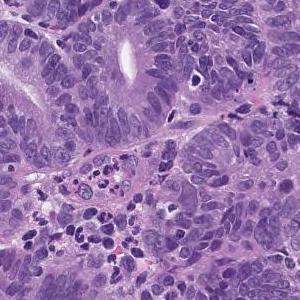
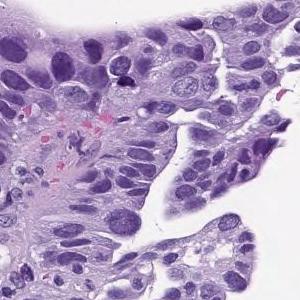
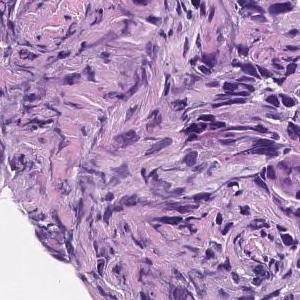
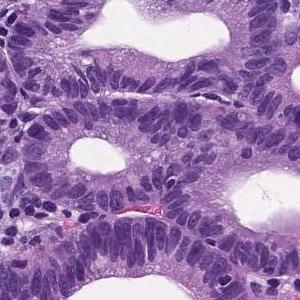
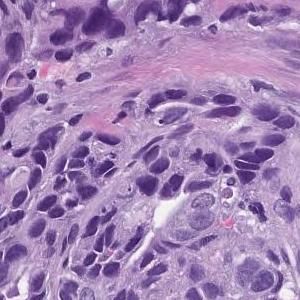
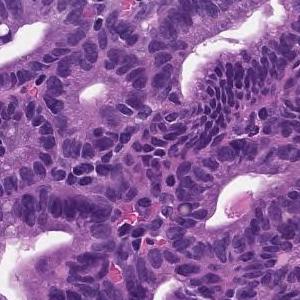
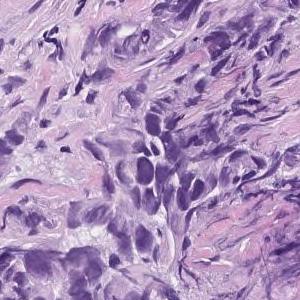
7 tiles cut from one stomach biopsy slide · each 300 × 300 pixels · H&E stain.
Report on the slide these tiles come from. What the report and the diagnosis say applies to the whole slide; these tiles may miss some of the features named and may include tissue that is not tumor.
In the superficial epithelium, tumor tissue that invades by forming medium-sized to small, irregular ducts is observed. moderately differentiated tubular adenocarcinoma.
